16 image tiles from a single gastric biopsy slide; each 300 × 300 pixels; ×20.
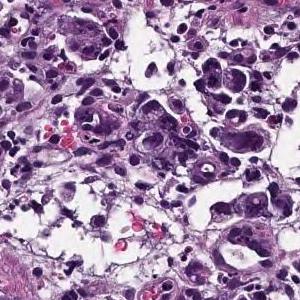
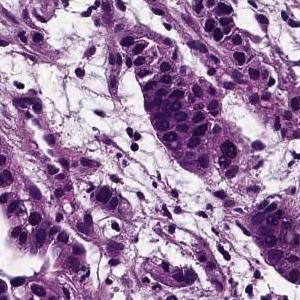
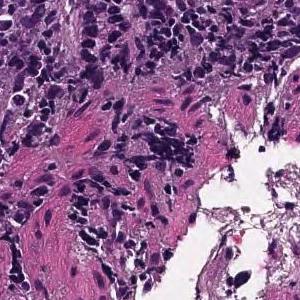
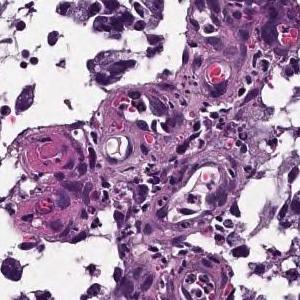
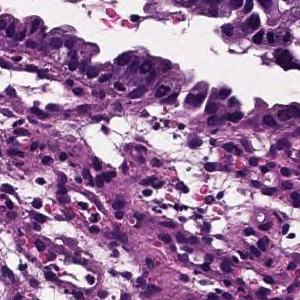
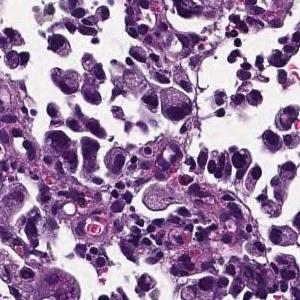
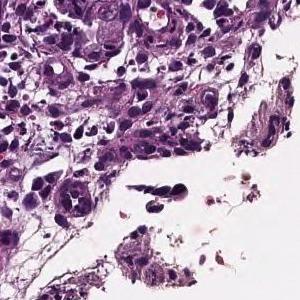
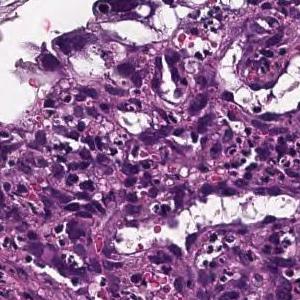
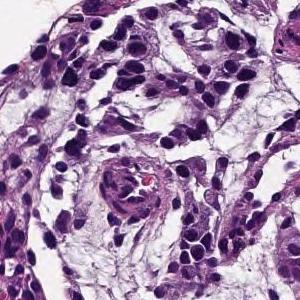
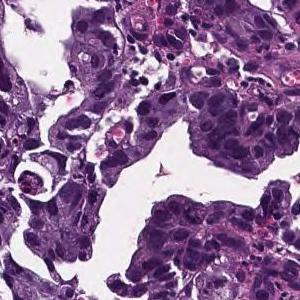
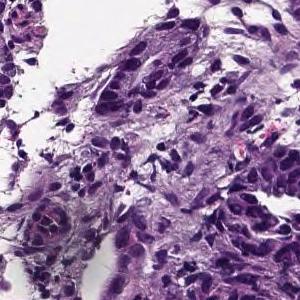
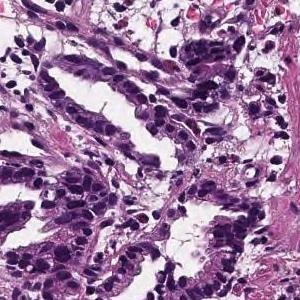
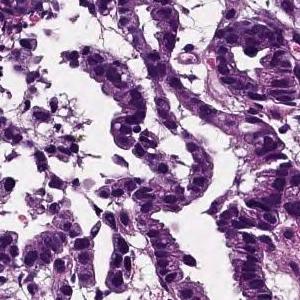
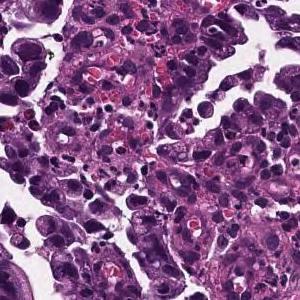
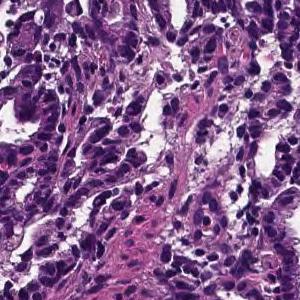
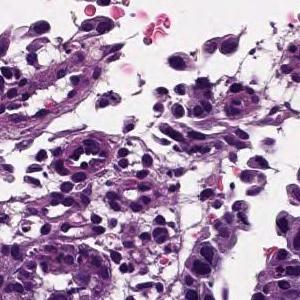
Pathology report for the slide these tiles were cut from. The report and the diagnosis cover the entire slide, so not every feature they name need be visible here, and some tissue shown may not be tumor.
Medium to small, irregular glandular ducts are formed in the superficial epithelium, and in some cases, the glandular ducts are fused to show solid alveolar lesions and infiltrating tumor tissue is observed. Moderately to poorly differentiated adenocarcinoma.
